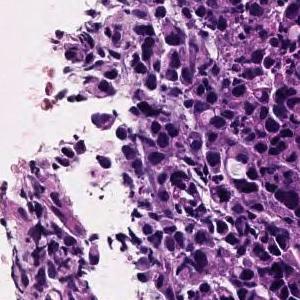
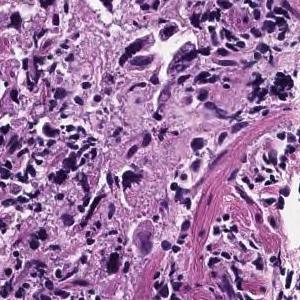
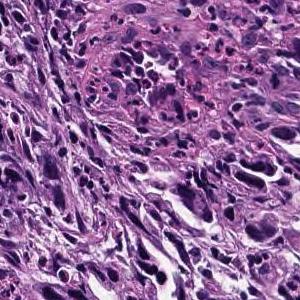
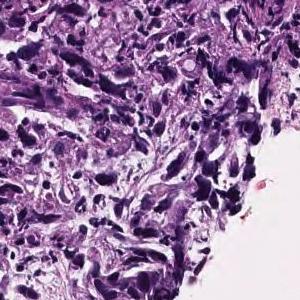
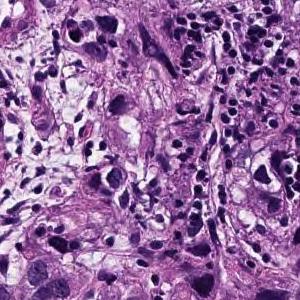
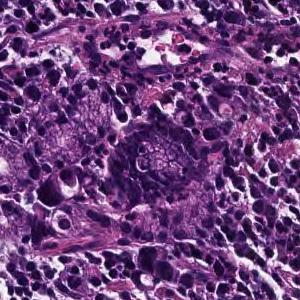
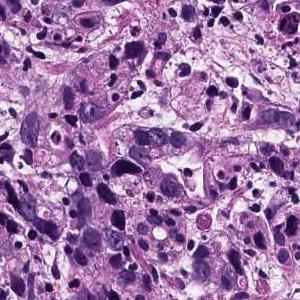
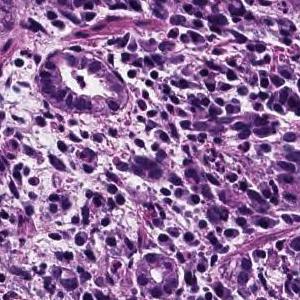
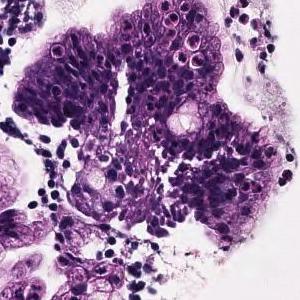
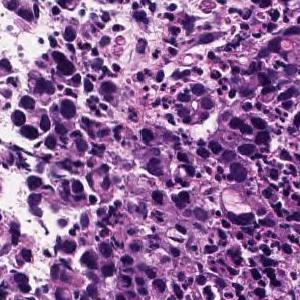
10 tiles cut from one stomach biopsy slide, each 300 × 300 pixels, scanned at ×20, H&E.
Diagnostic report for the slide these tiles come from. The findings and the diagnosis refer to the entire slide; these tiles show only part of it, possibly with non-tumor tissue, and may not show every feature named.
The superficial epithelium shows a large sheet-like shape, and some tumor tissue infiltrates with small irregular ducts. Poorly differentiated adenocarcinoma, solid-type
Tumor subtype: poorly differentiated adenocarcinoma, solid type, a category of the Japanese Classification of Gastric Carcinoma; in the WHO 2019 classification it is tubular adenocarcinoma, poorly differentiated.
